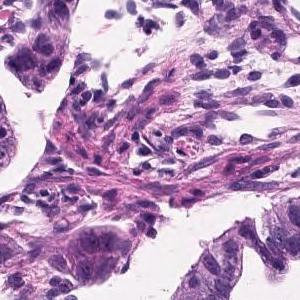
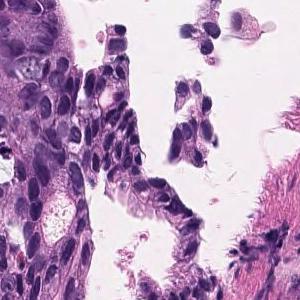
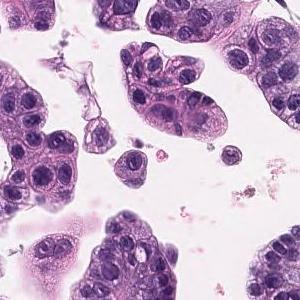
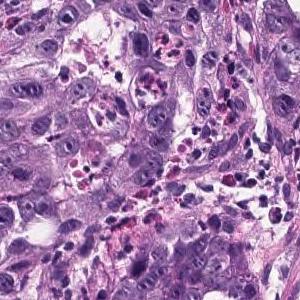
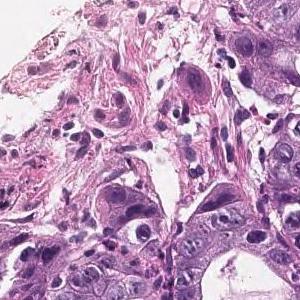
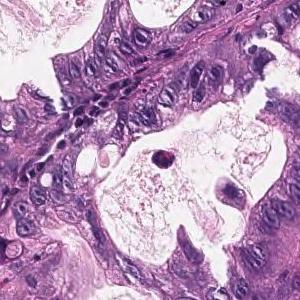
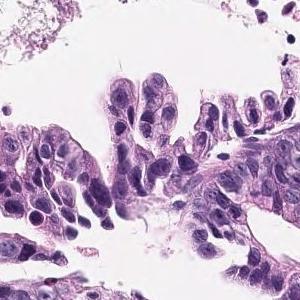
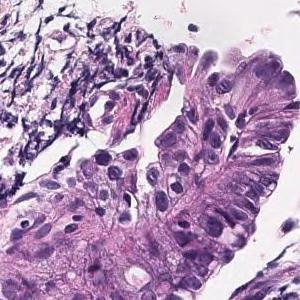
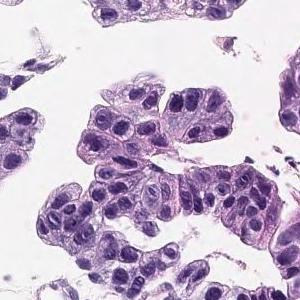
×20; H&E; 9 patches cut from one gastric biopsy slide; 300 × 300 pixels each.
Pathology report for the slide these tiles were cut from. The findings and the diagnosis refer to the entire slide; these tiles show only part of it, possibly with non-tumor tissue, and may not show every feature named.
Tumor cells are large, highly columnar, large club-shaped nuclei, and are associated with chromatin aggregation. Papillary adenocarcinoma.
